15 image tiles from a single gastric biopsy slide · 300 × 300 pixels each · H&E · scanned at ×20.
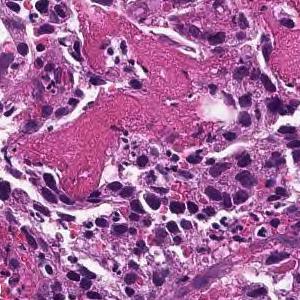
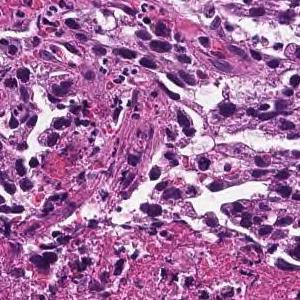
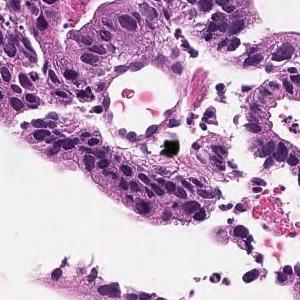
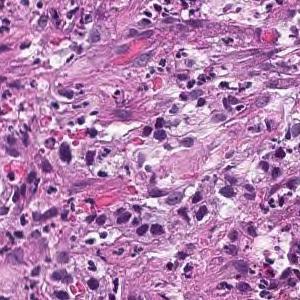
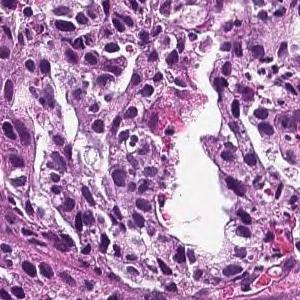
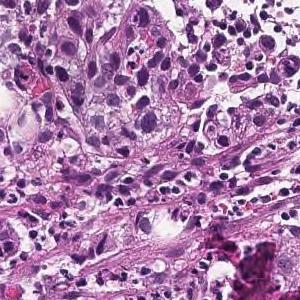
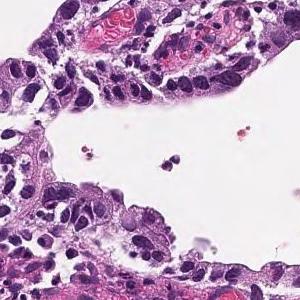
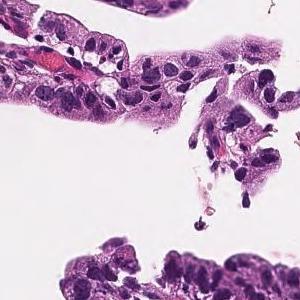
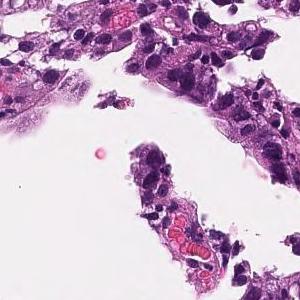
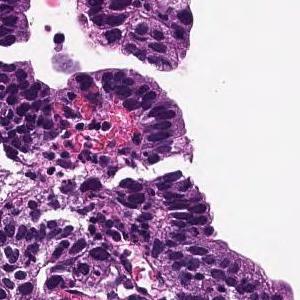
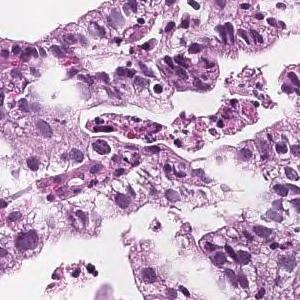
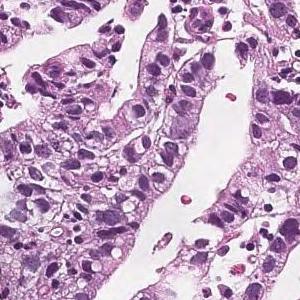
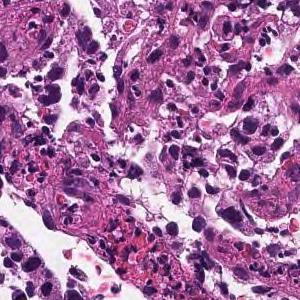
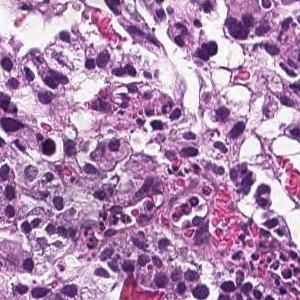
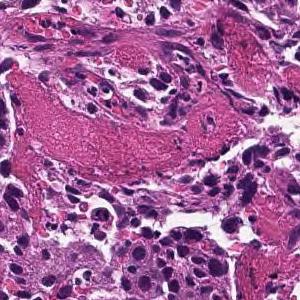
The pathologist's report on the biopsy slide these tiles were taken from. Both the report and the diagnosis are for the whole slide: these tiles need not show every feature named, and some of the tissue shown may not be tumor.
Tumor tissue consisting of medium-sized, cord-like or irregular glandular infiltration is observed in the superficial epithelium. Poorly differentiated adenocarcinoma, non-solid type or moderately differentiated tubular adenocarcinoma
Classified as moderately to poorly differentiated adenocarcinoma.
The term "non-solid type" comes from the Japanese Classification of Gastric Carcinoma.
